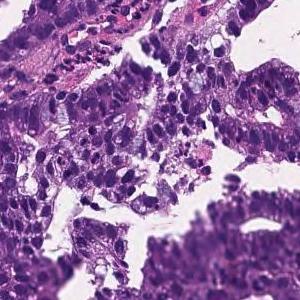
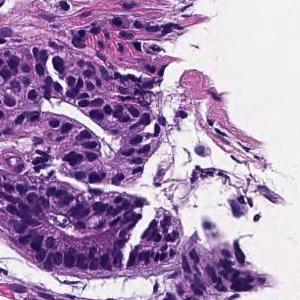
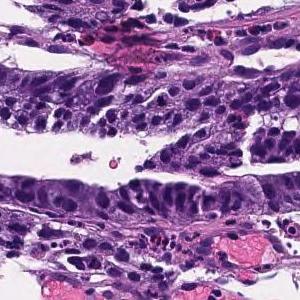
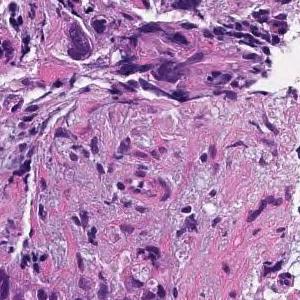
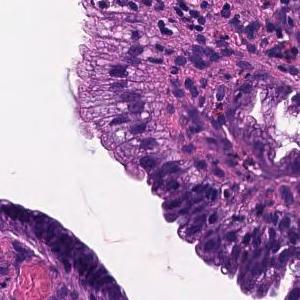
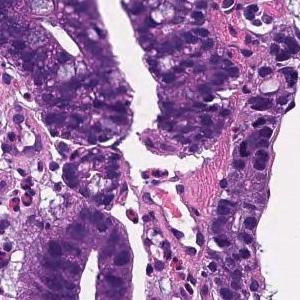
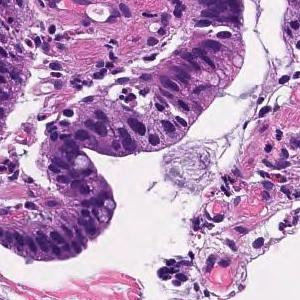
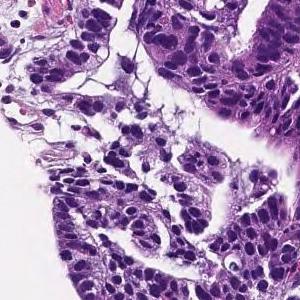
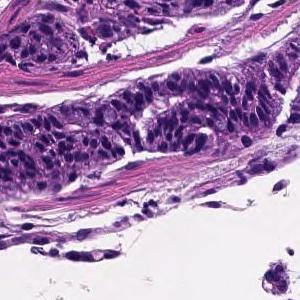
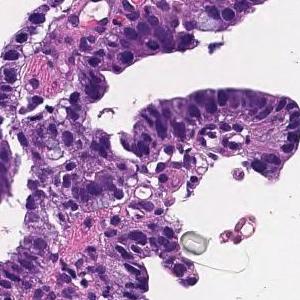
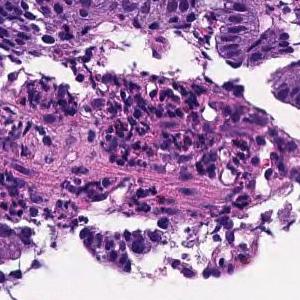
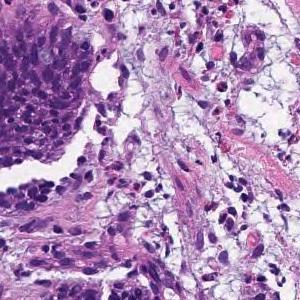
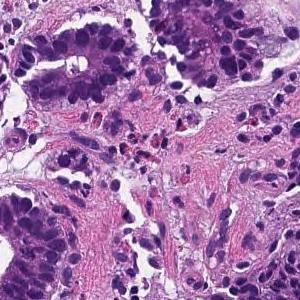
Hematoxylin and eosin stain, scanned at ×20, 13 tiles from the same stomach biopsy slide, 300 × 300 pixels each.
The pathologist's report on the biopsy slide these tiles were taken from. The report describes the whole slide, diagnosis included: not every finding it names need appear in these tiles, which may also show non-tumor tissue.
Tumor cells are large, highly columnar, large club-shaped nuclei, and are associated with chromatin aggregation. Papillary adenocarcinoma.
